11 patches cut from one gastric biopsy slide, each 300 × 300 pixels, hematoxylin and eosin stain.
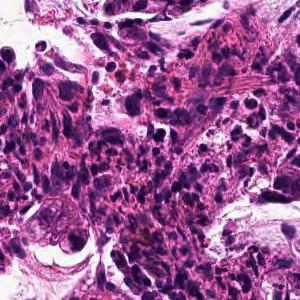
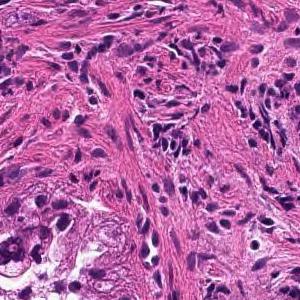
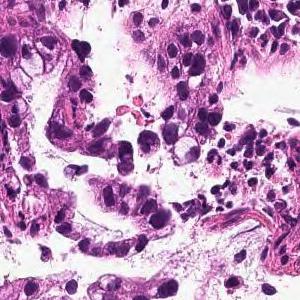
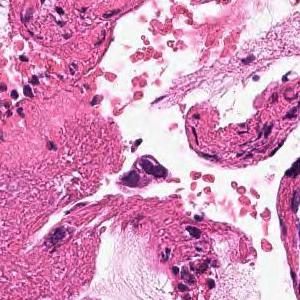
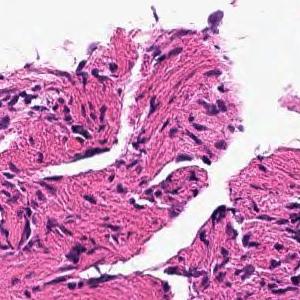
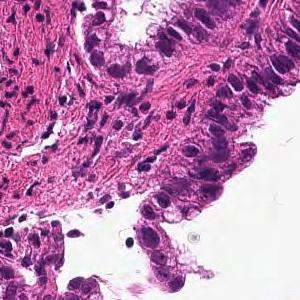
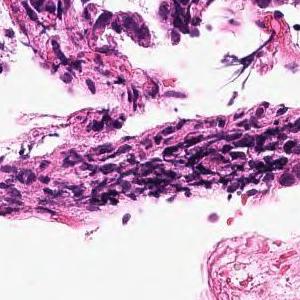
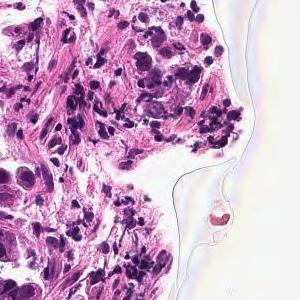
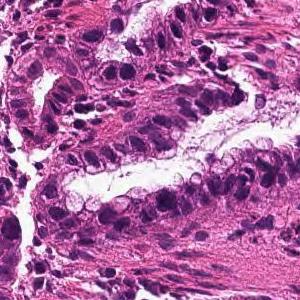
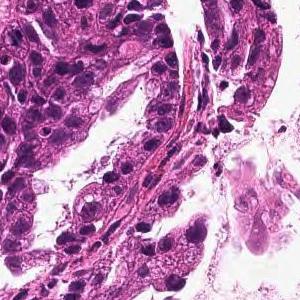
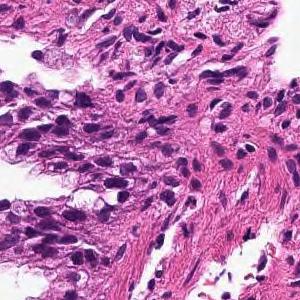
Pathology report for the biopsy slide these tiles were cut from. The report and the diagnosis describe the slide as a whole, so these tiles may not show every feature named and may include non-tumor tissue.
From the superficial epithelium to the muscularis mucosae, tumor tissue infiltrating by forming medium-sized irregular gland ducts is observed. Well differentiated tubular adenocarcinoma
